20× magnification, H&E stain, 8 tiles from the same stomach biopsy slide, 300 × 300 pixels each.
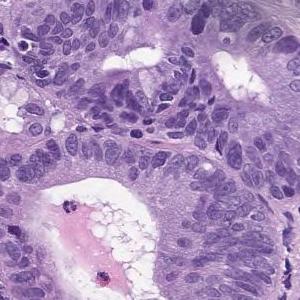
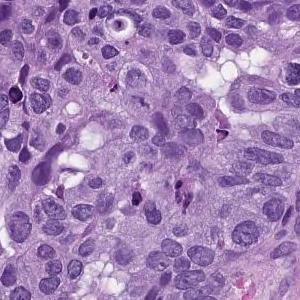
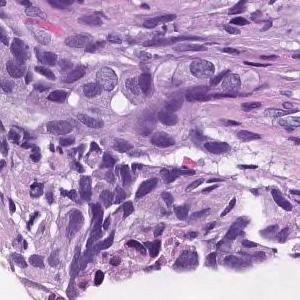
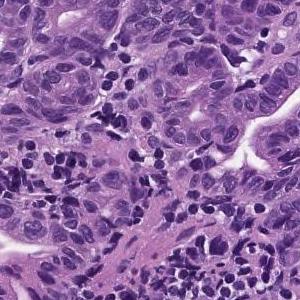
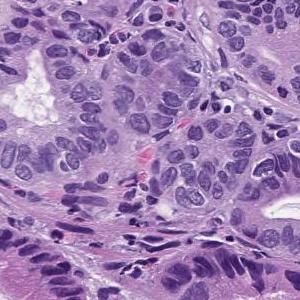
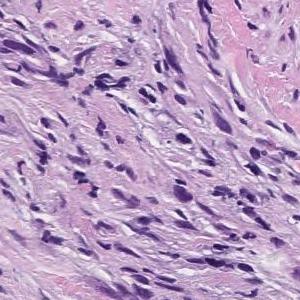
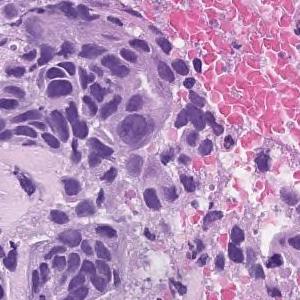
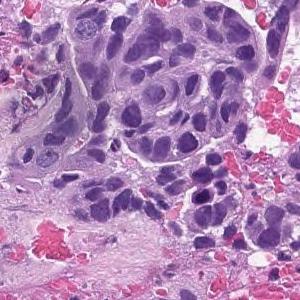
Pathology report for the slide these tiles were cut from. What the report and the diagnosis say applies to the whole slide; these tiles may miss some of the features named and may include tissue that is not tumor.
In the superficial epithelium, tumor tissue that invades by forming medium-sized to small, irregular ducts is observed. moderately differentiated tubular adenocarcinoma.
